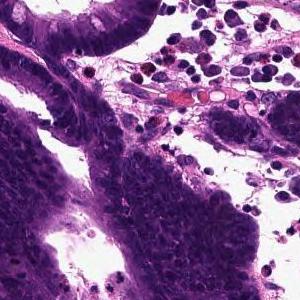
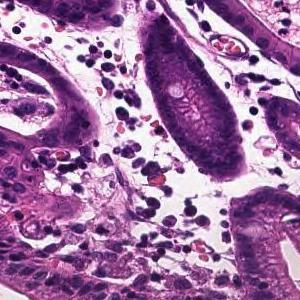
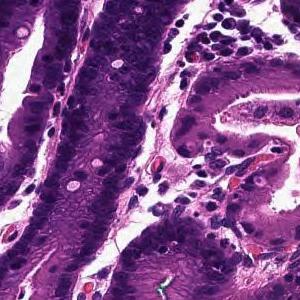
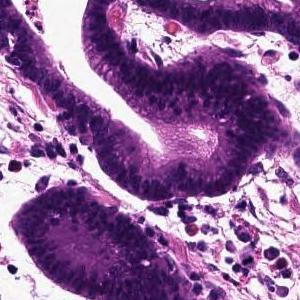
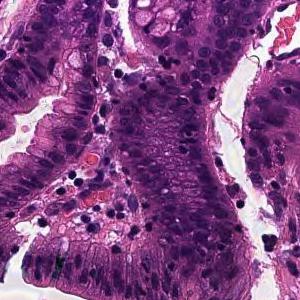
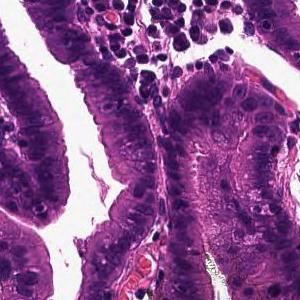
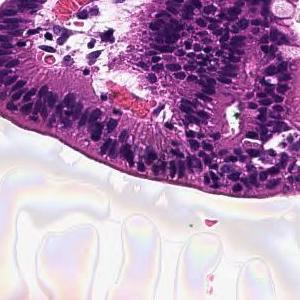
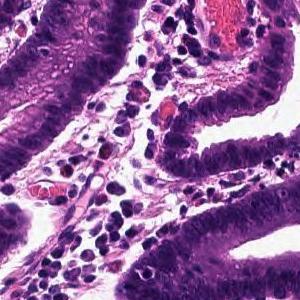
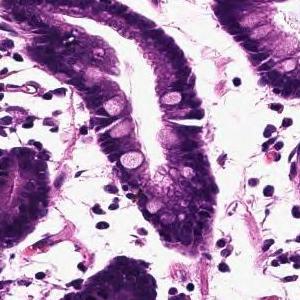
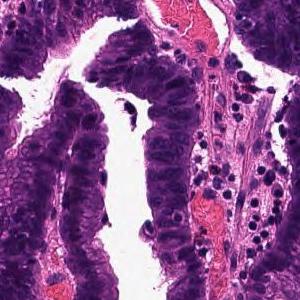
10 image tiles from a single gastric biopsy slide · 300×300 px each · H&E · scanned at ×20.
Diagnostic report for the slide these tiles come from. The report describes the whole slide, diagnosis included: not every finding it names need appear in these tiles, which may also show non-tumor tissue.
Tumor tissue that infiltrates by forming large papillary or large irregular glandular ducts is observed confined to the mucosa. Papillary adenocarcinoma
